6 image tiles from a single gastric biopsy slide; 300×300 px each; scanned at ×20; H&E.
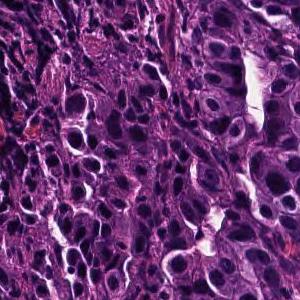
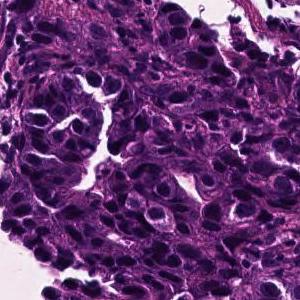
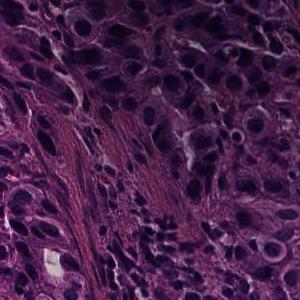
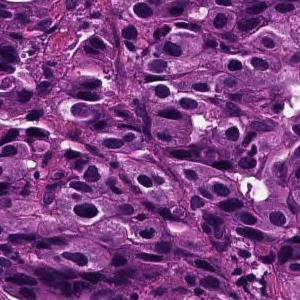
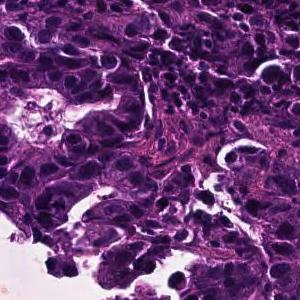
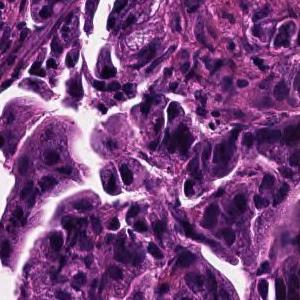
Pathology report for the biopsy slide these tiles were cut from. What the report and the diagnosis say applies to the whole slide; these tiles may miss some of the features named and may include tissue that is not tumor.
Tumor tissue consisting of medium-sized, cord-like or irregular glandular fusion and infiltration is observed in the superficial epithelium. Poorly differentiated adenocarcinoma, non-solid type or moderately differentiated tubular adenocarcinoma
Classified as moderately to poorly differentiated adenocarcinoma.
The non-solid type named here is a Japanese Classification of Gastric Carcinoma category.
